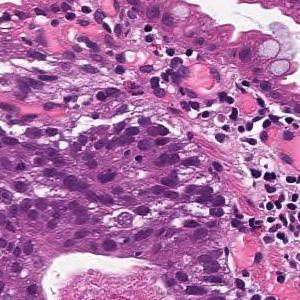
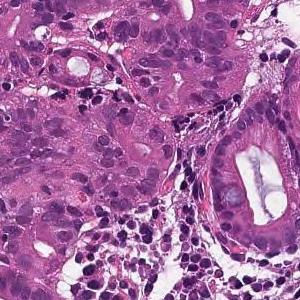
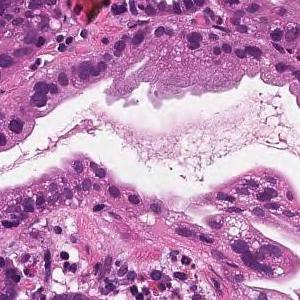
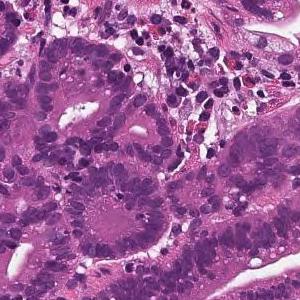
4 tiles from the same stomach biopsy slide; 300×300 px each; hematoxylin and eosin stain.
The pathologist's report on the biopsy slide these tiles were taken from. The report and the diagnosis describe the slide as a whole, so these tiles may not show every feature named and may include non-tumor tissue.
In the superficial epithelium, tumor tissue that invades by forming medium-sized to small, irregular ducts is observed. moderately differentiated tubular adenocarcinoma.
